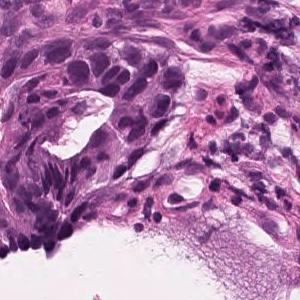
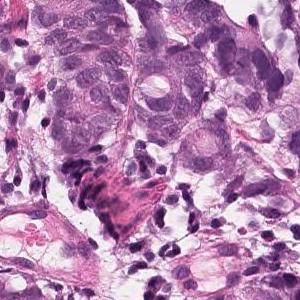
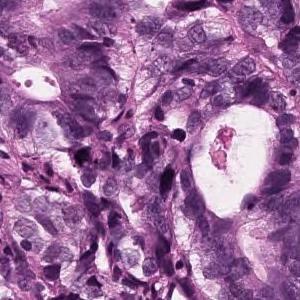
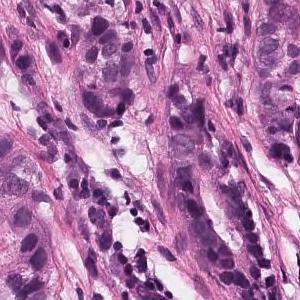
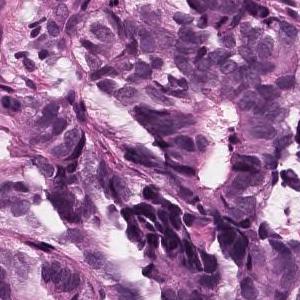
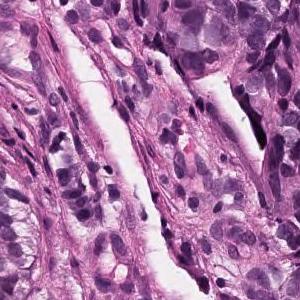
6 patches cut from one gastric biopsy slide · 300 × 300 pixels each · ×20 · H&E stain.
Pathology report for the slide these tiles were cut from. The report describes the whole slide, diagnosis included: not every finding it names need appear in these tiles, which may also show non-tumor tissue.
On the superficial epithelium, tumor tissue consisting of large, irregular glandular ducts partially fused and infiltrated is observed. Well to moderately differentiated tubular adenocarcinoma (well differentiated tubular adenocarcinoma, moderately differentiated tubular adenocarcinoma)
Histologic type: Well to moderately differentiated tubular adenocarcinoma.
